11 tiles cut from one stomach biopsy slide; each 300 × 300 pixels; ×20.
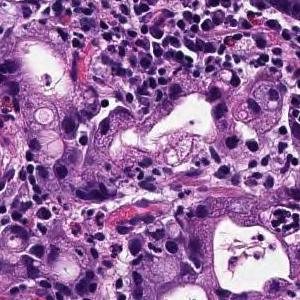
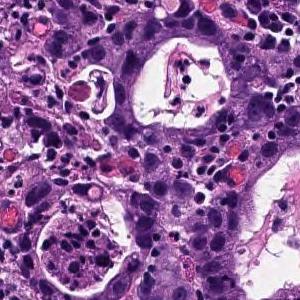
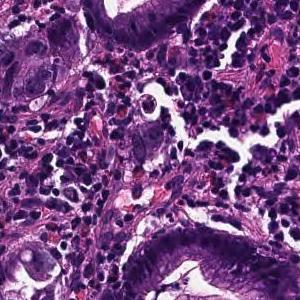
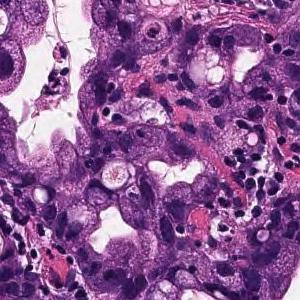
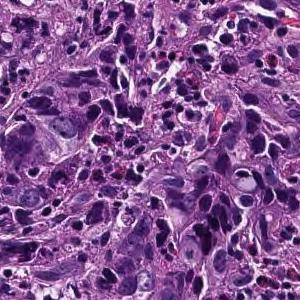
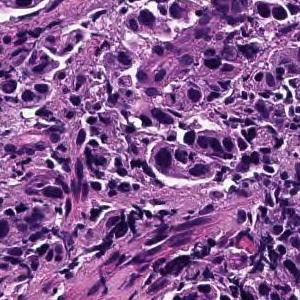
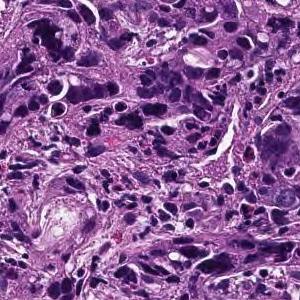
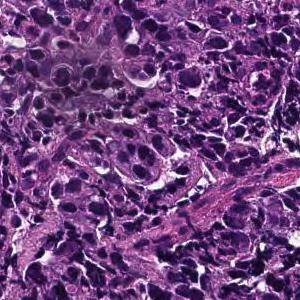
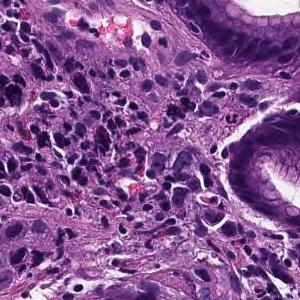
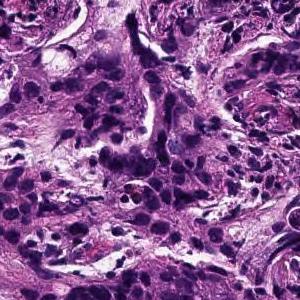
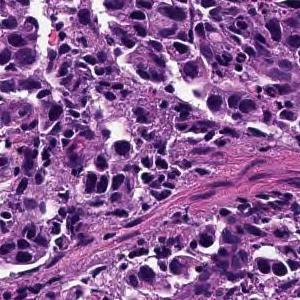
Pathology report for the biopsy slide these tiles were cut from. What the report and the diagnosis say applies to the whole slide; these tiles may miss some of the features named and may include tissue that is not tumor.
Tumor tissue consisting of medium-sized, cord-like or irregular glandular infiltration is observed in the superficial epithelium. Poorly differentiated adenocarcinoma, non-solid type or moderately differentiated tubular adenocarcinoma
Classified as moderately to poorly differentiated adenocarcinoma.
The term "non-solid type" comes from the Japanese Classification of Gastric Carcinoma.
